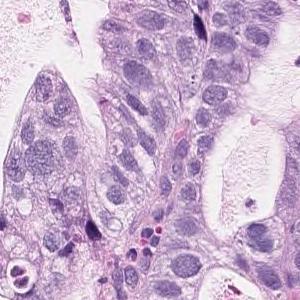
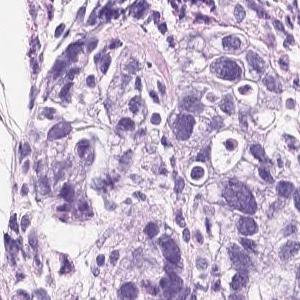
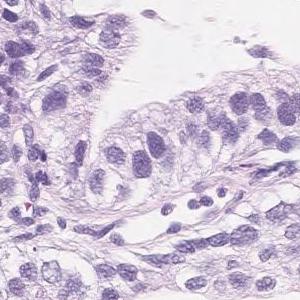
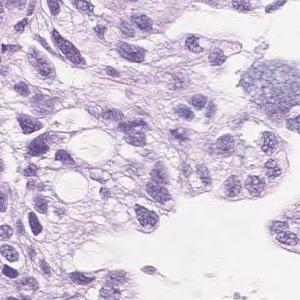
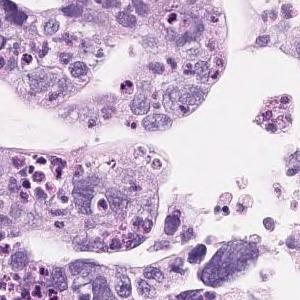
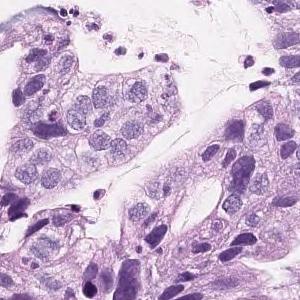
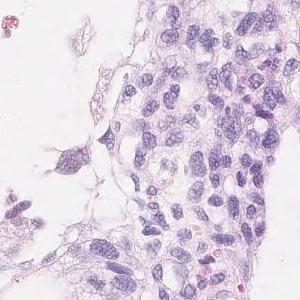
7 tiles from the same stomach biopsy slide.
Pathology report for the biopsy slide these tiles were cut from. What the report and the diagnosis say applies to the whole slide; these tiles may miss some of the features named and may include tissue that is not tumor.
On the superficial epithelium, tumor tissue consisting of large, irregular glandular ducts partially fused and infiltrated is observed. Well to moderately differentiated tubular adenocarcinoma (well differentiated tubular adenocarcinoma, moderately differentiated tubular adenocarcinoma)
Tumor subtype: well to moderately differentiated tubular adenocarcinoma.
